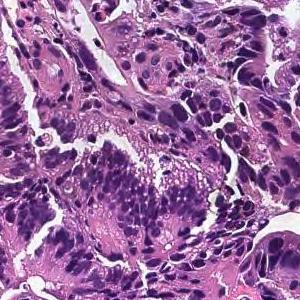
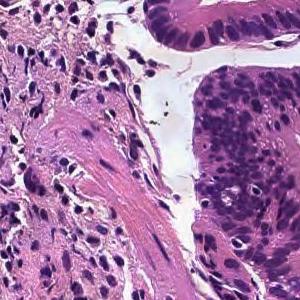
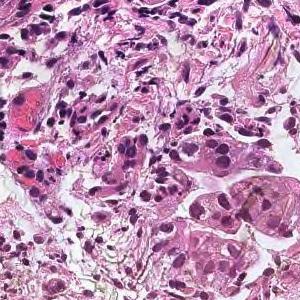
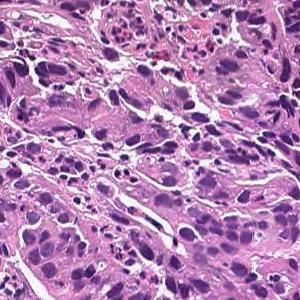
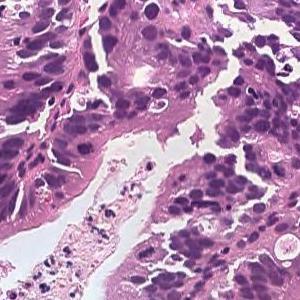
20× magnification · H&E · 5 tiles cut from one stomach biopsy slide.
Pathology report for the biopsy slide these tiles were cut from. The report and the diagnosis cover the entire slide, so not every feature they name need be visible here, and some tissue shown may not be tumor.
On the superficial epithelium, tumor tissue consisting of large irregular glandular ducts partially fused and infiltrated is observed. Well to moderately differentiated tubular adenocarcinoma (well differentiated tubular adenocarcinoma, moderately differentiated tubular adenocarcinoma)
Classified as well to moderately differentiated tubular adenocarcinoma.
